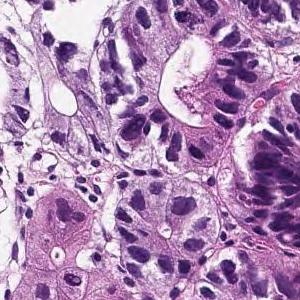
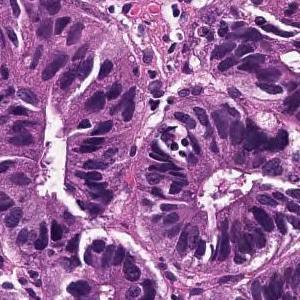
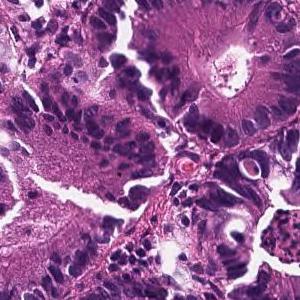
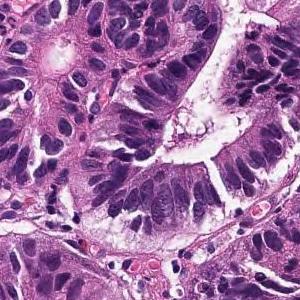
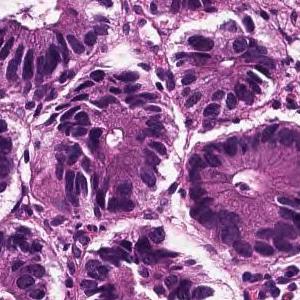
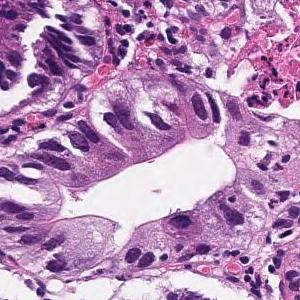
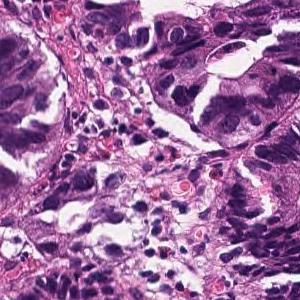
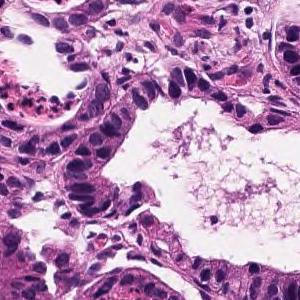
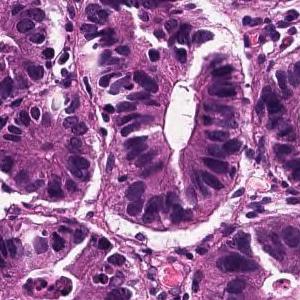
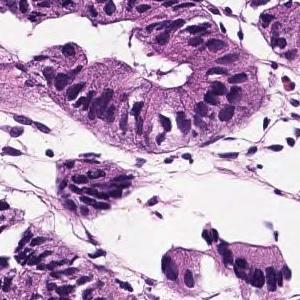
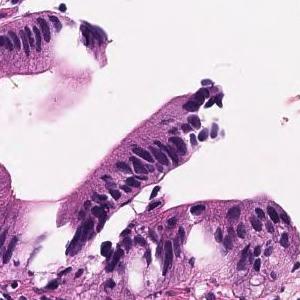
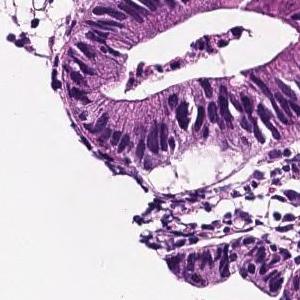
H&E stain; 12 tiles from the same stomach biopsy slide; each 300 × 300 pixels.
Diagnostic report for the slide these tiles come from. The report describes the whole slide, diagnosis included: not every finding it names need appear in these tiles, which may also show non-tumor tissue.
Atypical epithelial cells form glandular cavities and proliferate. Well differentiated tubular adenocarcinoma
